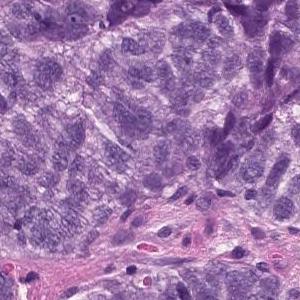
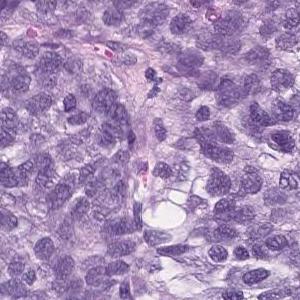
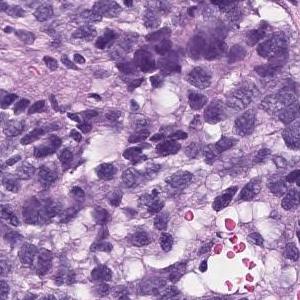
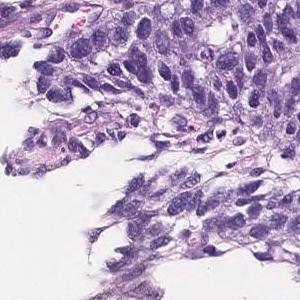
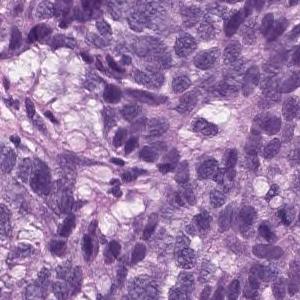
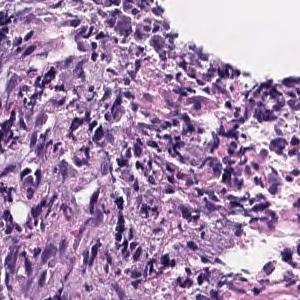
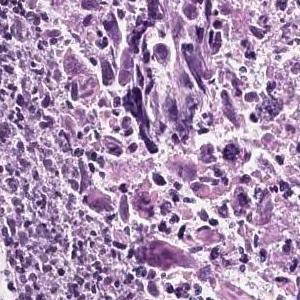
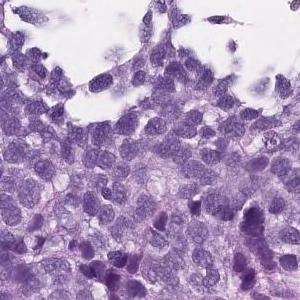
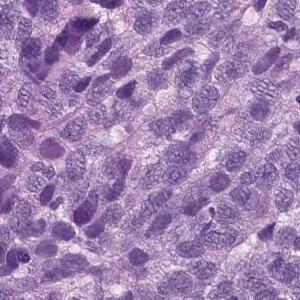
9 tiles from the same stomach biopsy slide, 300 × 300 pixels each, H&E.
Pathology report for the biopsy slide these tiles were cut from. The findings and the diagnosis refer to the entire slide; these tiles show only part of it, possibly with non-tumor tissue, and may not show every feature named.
Epithelial cells with swollen nuclei with atypia invasively proliferating while forming vesicles is observed. Poorly differentiated adenocarcinoma
Histological subtype: Poorly differentiated adenocarcinoma, solid type. This name comes from the Japanese Classification of Gastric Carcinoma; the WHO 2019 classification calls it tubular adenocarcinoma, poorly differentiated.
